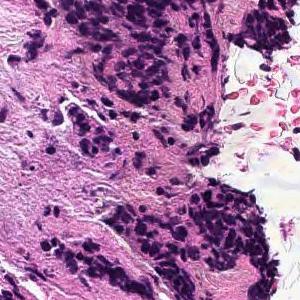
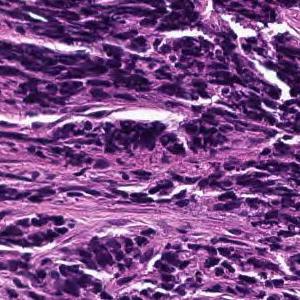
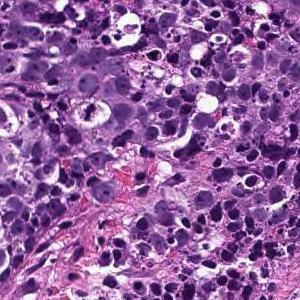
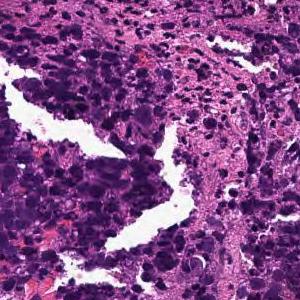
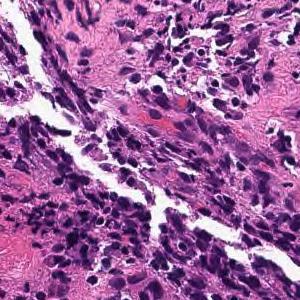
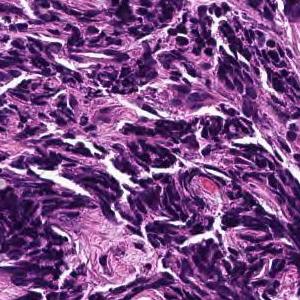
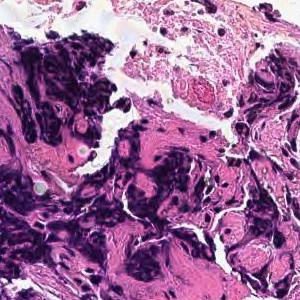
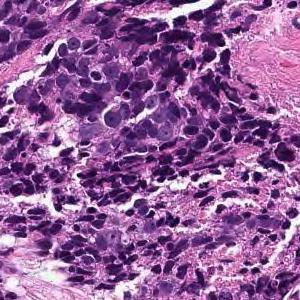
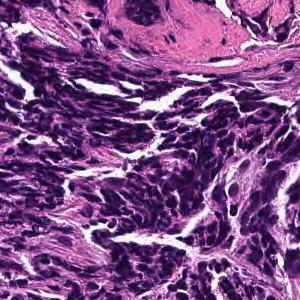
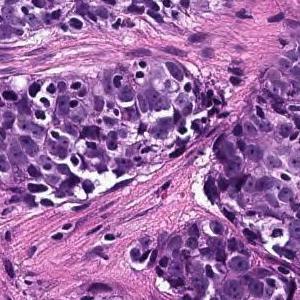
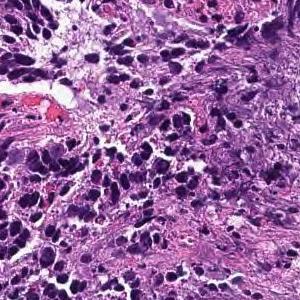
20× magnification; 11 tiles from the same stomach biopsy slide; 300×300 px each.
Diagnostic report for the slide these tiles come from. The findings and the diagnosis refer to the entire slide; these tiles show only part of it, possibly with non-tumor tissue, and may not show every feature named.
The superficial epithelium shows a large sheet or alveolar shape, and tumor tissue infiltrating without irregular ducts is observed. Poorly differentiated adenocarcinoma, solid-type
Classified as poorly differentiated adenocarcinoma, solid type. This name comes from the Japanese Classification of Gastric Carcinoma; the WHO 2019 classification calls it tubular adenocarcinoma, poorly differentiated.
